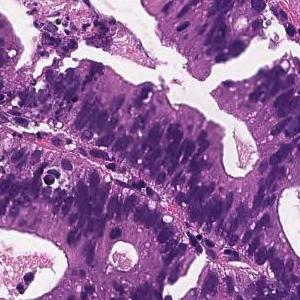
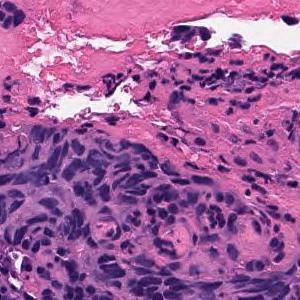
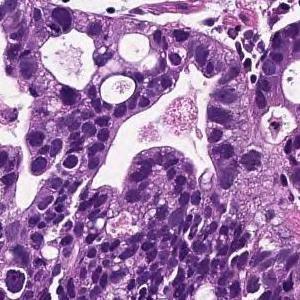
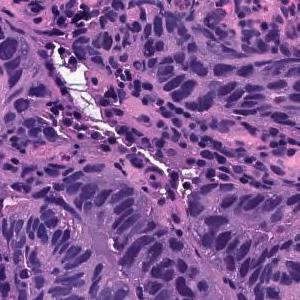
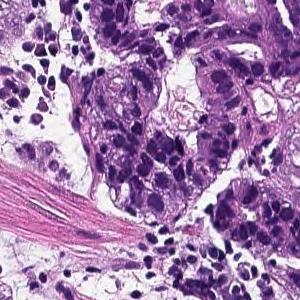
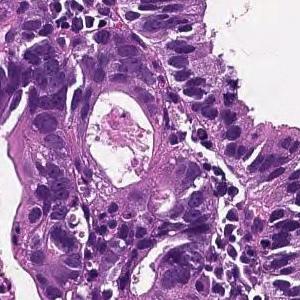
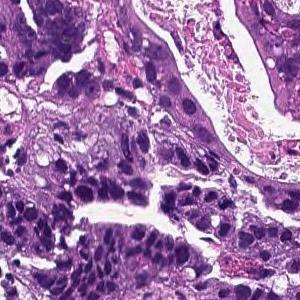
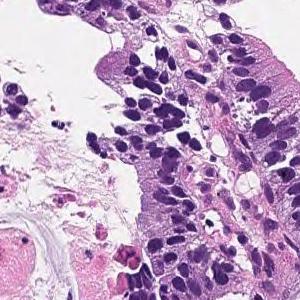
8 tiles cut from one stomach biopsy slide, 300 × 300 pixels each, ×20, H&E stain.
Report on the slide these tiles come from. What the report and the diagnosis say applies to the whole slide; these tiles may miss some of the features named and may include tissue that is not tumor.
In the superficial epithelium, tumor tissue that invades by forming medium-sized to small, irregular ducts is observed. moderately differentiated tubular adenocarcinoma.
